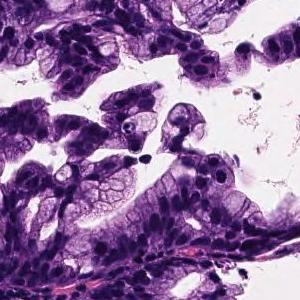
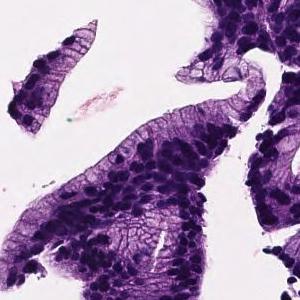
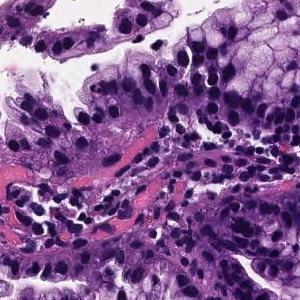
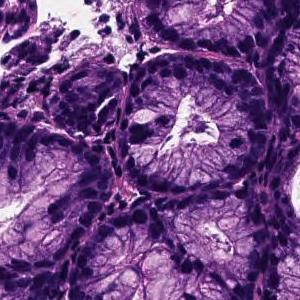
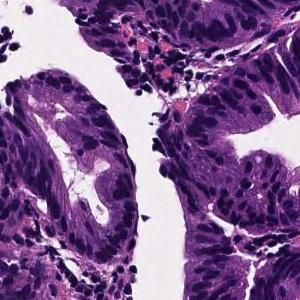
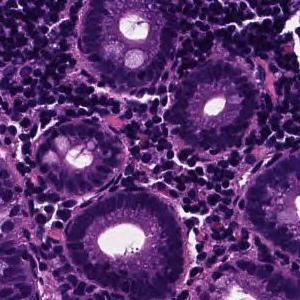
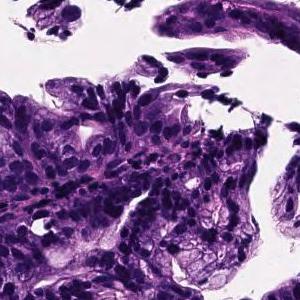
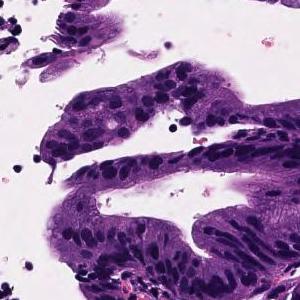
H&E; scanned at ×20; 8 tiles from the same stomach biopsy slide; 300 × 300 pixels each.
Pathology report for the biopsy slide these tiles were cut from. The findings and the diagnosis refer to the entire slide; these tiles show only part of it, possibly with non-tumor tissue, and may not show every feature named.
On the superficial epithelium, tumor tissue that infiltrates by forming medium-sized papillary or small irregular ducts is observed. Papillary adenocarcinoma
